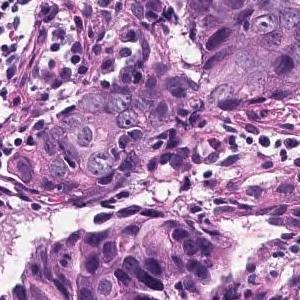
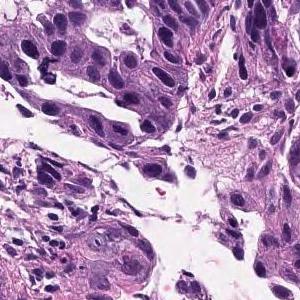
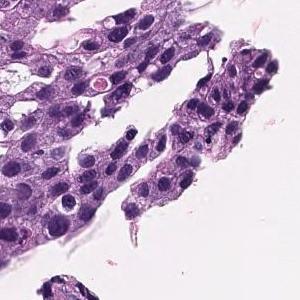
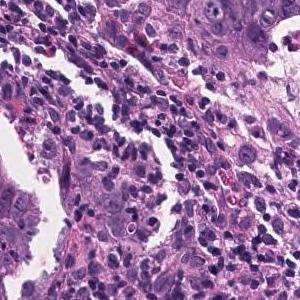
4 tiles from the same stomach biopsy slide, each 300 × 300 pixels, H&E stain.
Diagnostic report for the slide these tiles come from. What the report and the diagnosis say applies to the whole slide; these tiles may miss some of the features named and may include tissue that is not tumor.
Tumor cells are large, highly columnar, large club-shaped nuclei, and are associated with chromatin aggregation. Papillary adenocarcinoma.
